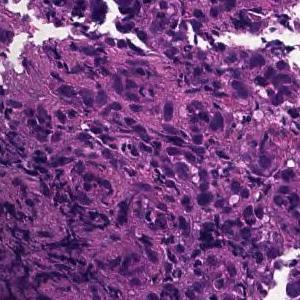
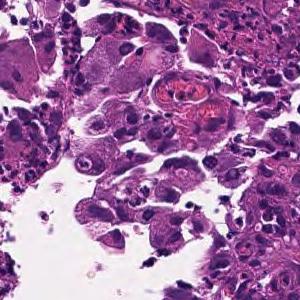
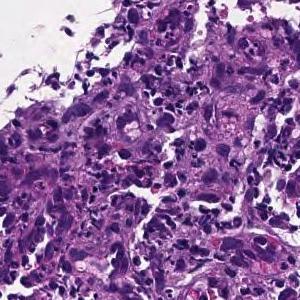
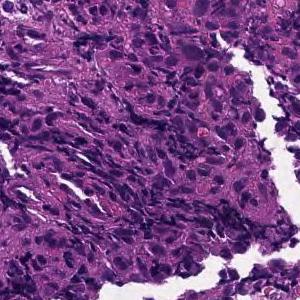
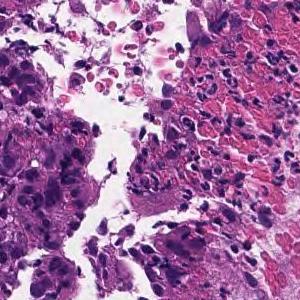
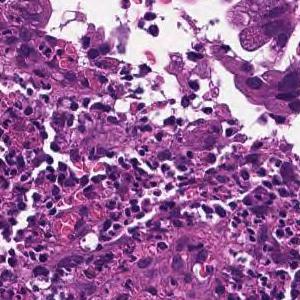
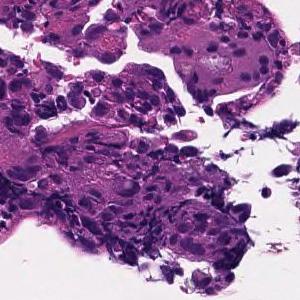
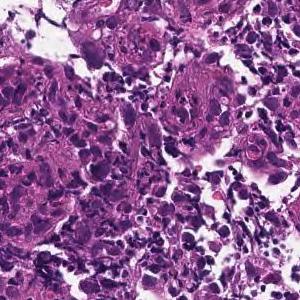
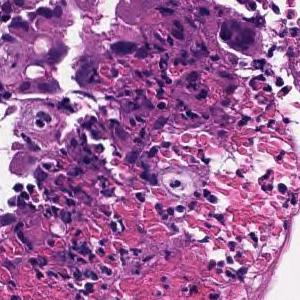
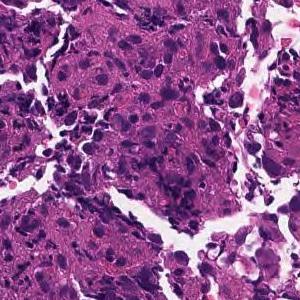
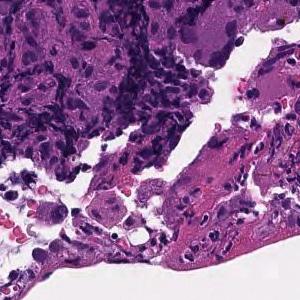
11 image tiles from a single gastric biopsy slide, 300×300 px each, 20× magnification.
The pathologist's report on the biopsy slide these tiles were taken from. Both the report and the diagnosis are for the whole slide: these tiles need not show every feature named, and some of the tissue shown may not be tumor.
Tumor cells are medium to large, cuboidal, and have little tendency to differentiate. Poorly differentiated adenocarcinoma, solid-type  or moderately differentiated tubular adenocarcinoma
Labeled in the dataset as poorly differentiated adenocarcinoma, solid type. This name comes from the Japanese Classification of Gastric Carcinoma; the WHO 2019 classification calls it tubular adenocarcinoma, poorly differentiated.
